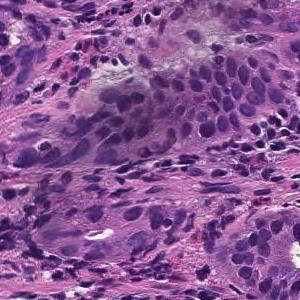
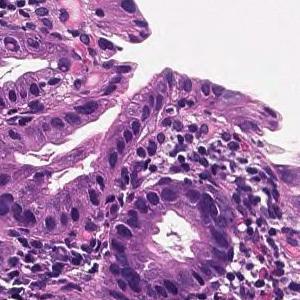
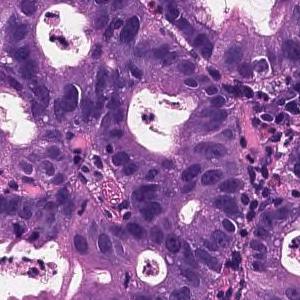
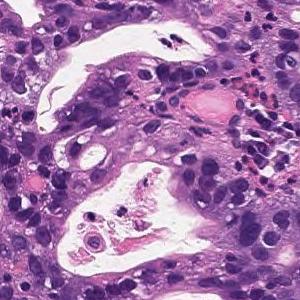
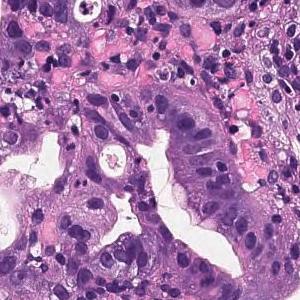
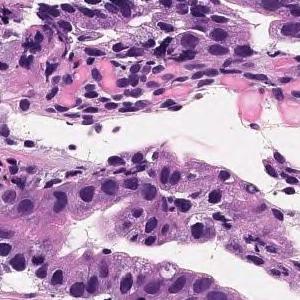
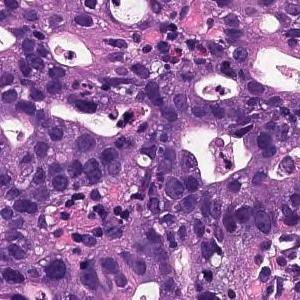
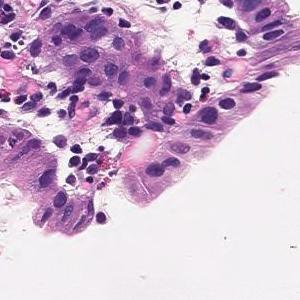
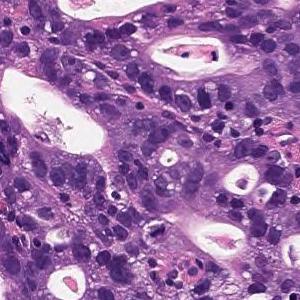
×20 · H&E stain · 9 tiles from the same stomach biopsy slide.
Pathology report for the slide these tiles were cut from. What the report and the diagnosis say applies to the whole slide; these tiles may miss some of the features named and may include tissue that is not tumor.
On the superficial epithelium, tumor tissue consisting of large, irregular glandular ducts partially fused and infiltrated is observed. Well to moderately differentiated tubular adenocarcinoma (well differentiated tubular adenocarcinoma, moderately differentiated tubular adenocarcinoma)
Tumor subtype: well to moderately differentiated tubular adenocarcinoma.
